15 image tiles from a single gastric biopsy slide · H&E stain · 20× magnification.
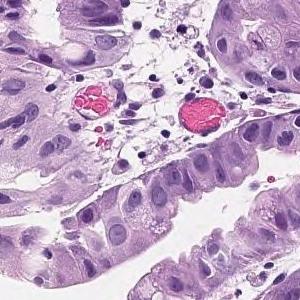
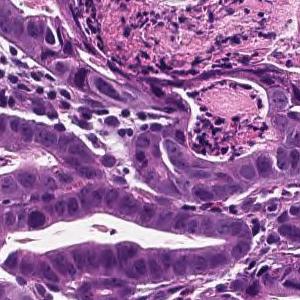
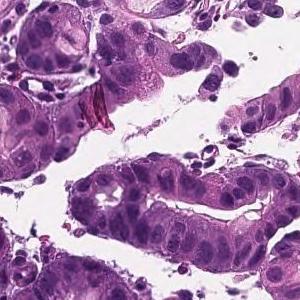
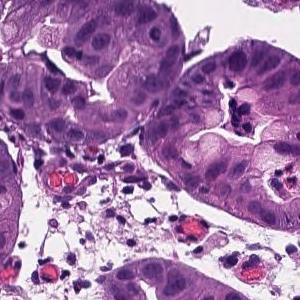
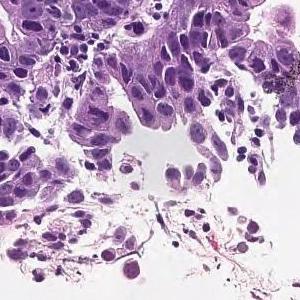
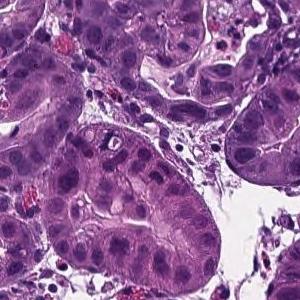
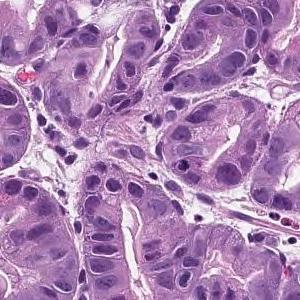
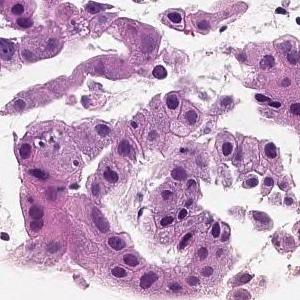
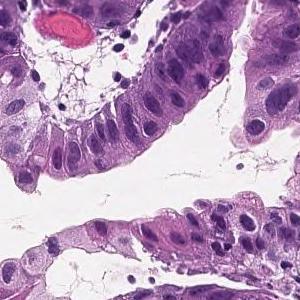
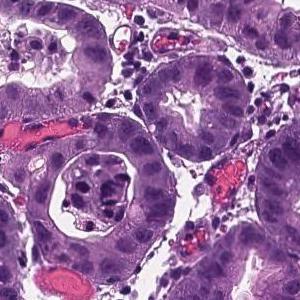
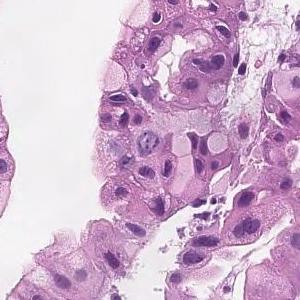
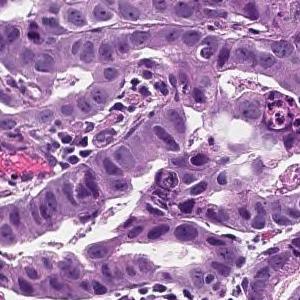
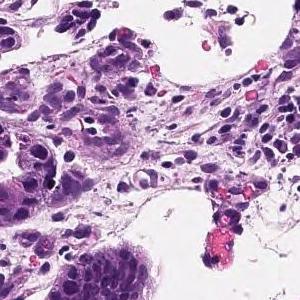
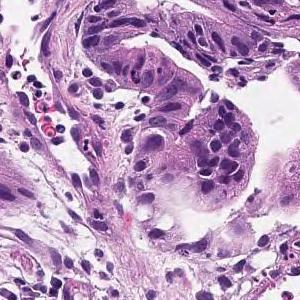
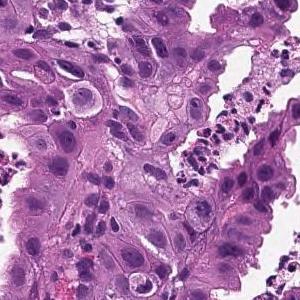
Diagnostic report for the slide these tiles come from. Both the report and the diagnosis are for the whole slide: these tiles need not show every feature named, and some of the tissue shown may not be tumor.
On the superficial epithelium, tumor tissue that infiltrates by forming medium-sized papillary or small irregular ducts is observed. Papillary adenocarcinoma
